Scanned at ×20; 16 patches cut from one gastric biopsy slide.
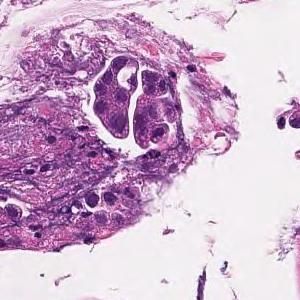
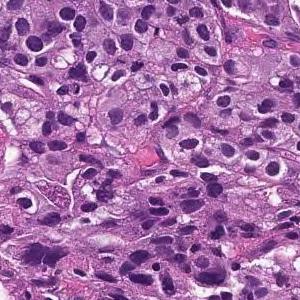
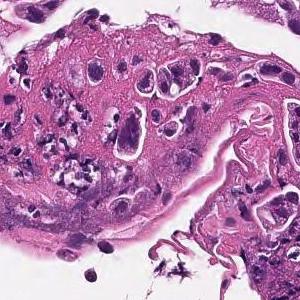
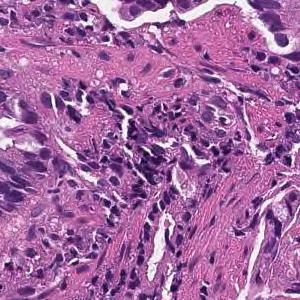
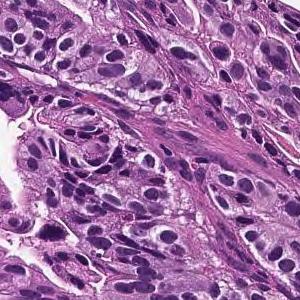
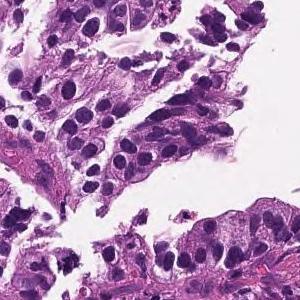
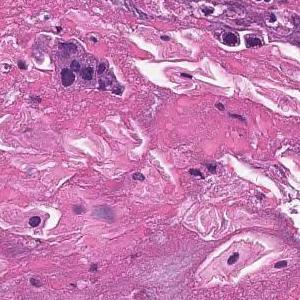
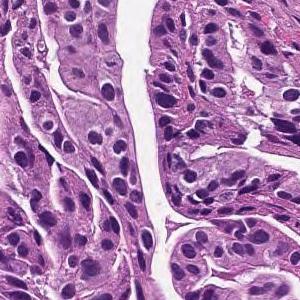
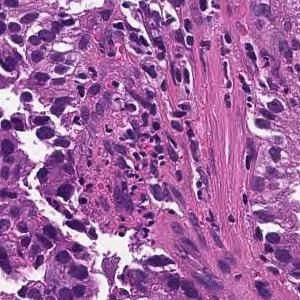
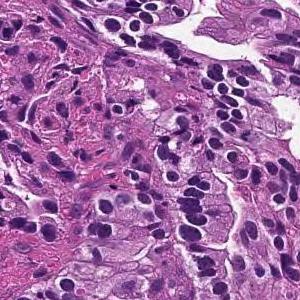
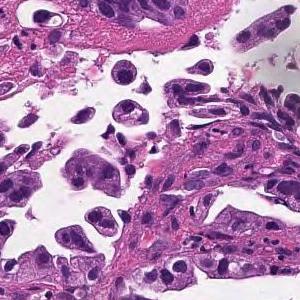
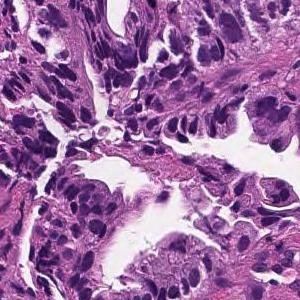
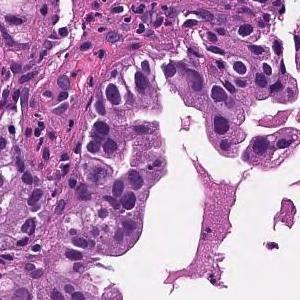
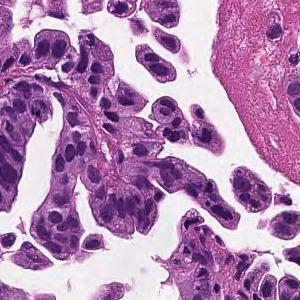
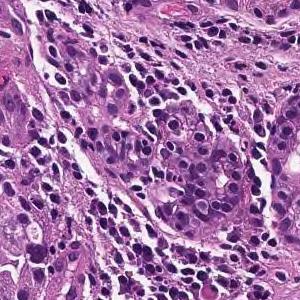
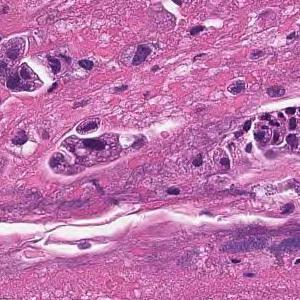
The pathologist's report on the biopsy slide these tiles were taken from. Both the report and the diagnosis are for the whole slide: these tiles need not show every feature named, and some of the tissue shown may not be tumor.
Medium to small, irregular glandular ducts are formed in the superficial epithelium, and in some cases, the glandular ducts are fused to show solid alveolar lesions and infiltrating tumor tissue is observed. Moderately to poorly differentiated adenocarcinoma.
